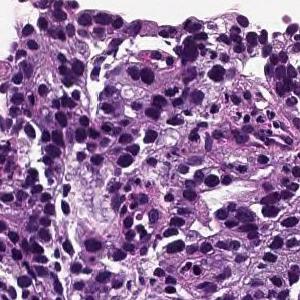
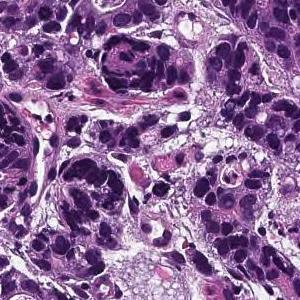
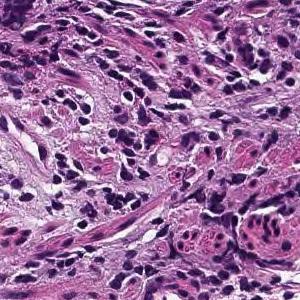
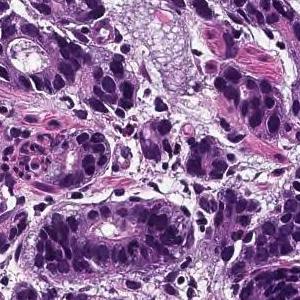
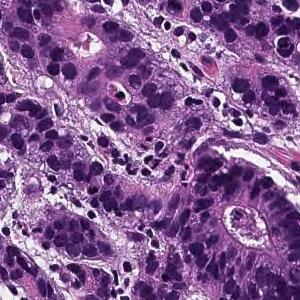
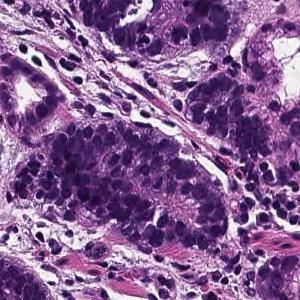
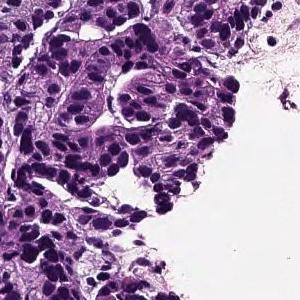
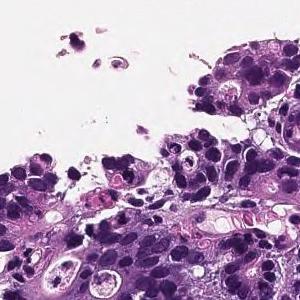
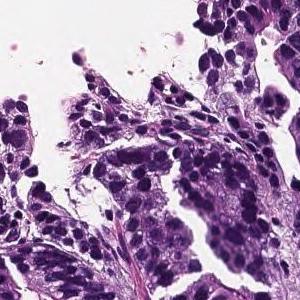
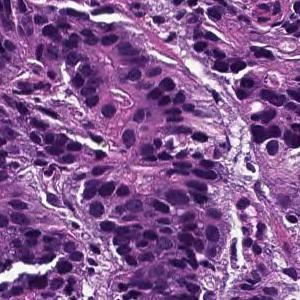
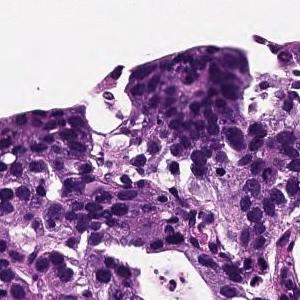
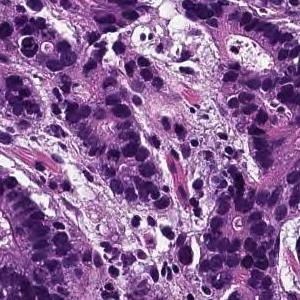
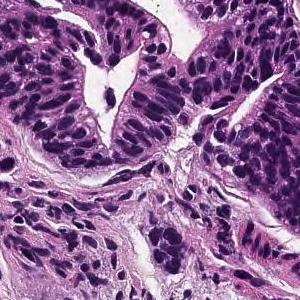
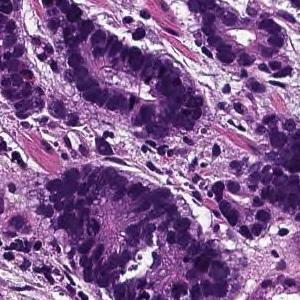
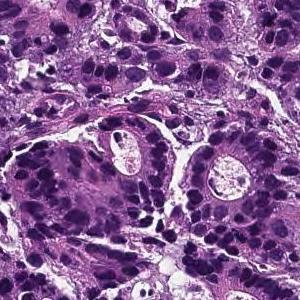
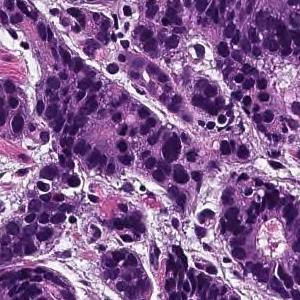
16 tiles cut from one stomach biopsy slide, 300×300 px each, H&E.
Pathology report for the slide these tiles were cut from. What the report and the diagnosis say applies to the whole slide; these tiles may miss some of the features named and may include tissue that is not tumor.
On the superficial epithelium, tumor tissue is found in which medium-sized irregular gland ducts fuse with each other and infiltrate. moderately differentiated tubular adenocarcinoma
